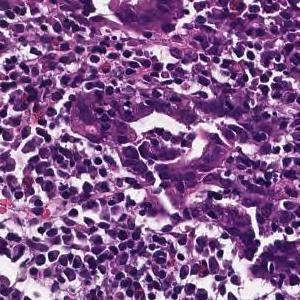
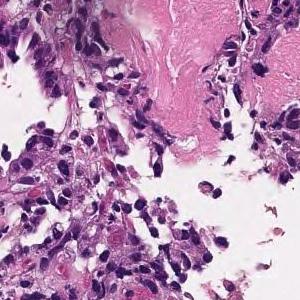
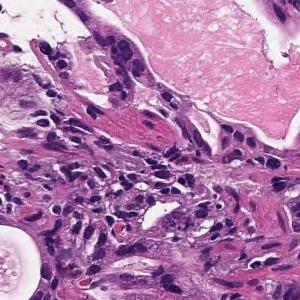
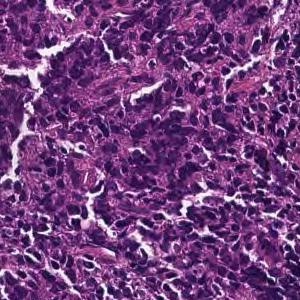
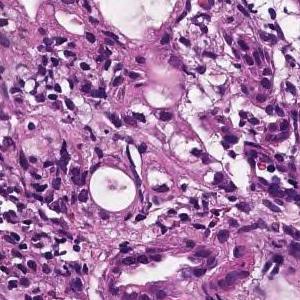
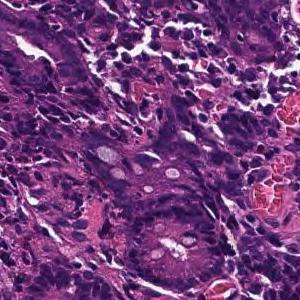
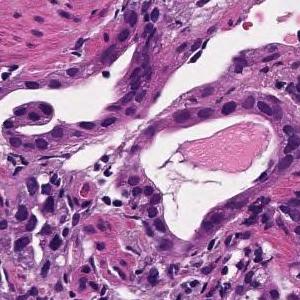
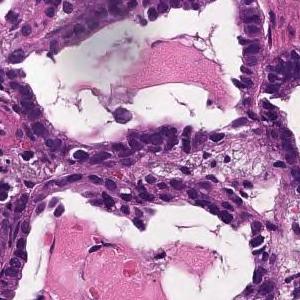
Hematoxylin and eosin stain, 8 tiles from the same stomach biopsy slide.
Pathology report for the biopsy slide these tiles were cut from. What the report and the diagnosis say applies to the whole slide; these tiles may miss some of the features named and may include tissue that is not tumor.
Tumor tissue consisting of medium-sized, cord-like or irregular glandular infiltration is observed in the superficial epithelium. Poorly differentiated adenocarcinoma, non-solid type or moderately differentiated tubular adenocarcinoma
Histological subtype: Moderately to poorly differentiated adenocarcinoma.
The term "non-solid type" comes from the Japanese Classification of Gastric Carcinoma.
